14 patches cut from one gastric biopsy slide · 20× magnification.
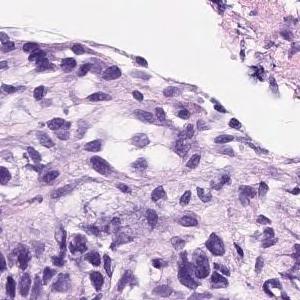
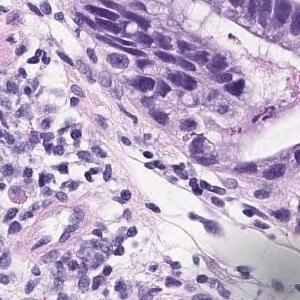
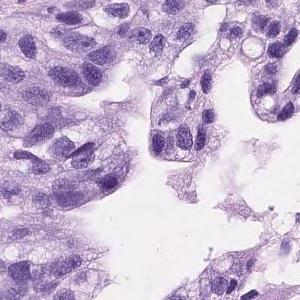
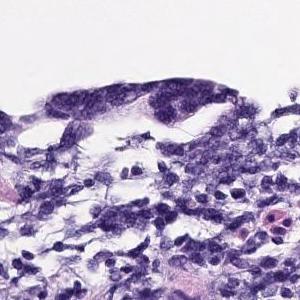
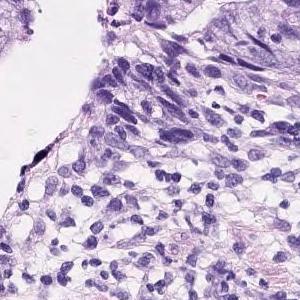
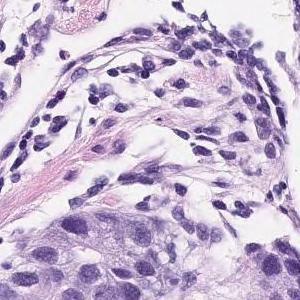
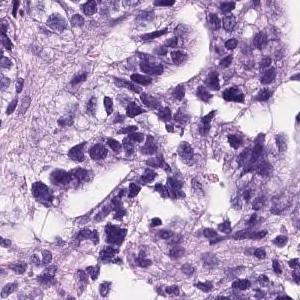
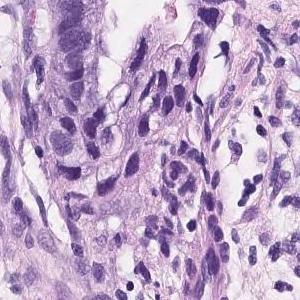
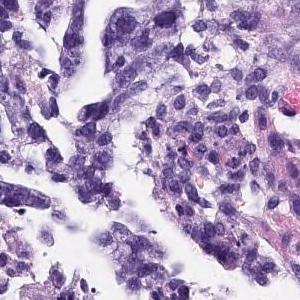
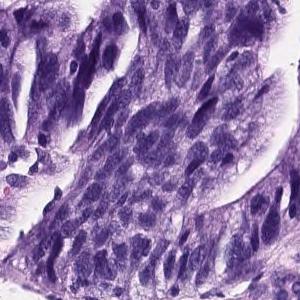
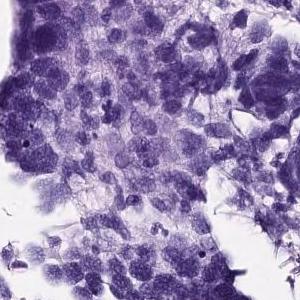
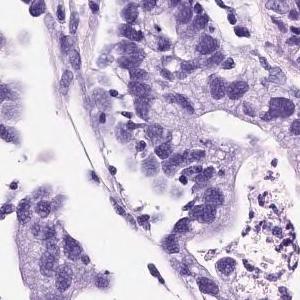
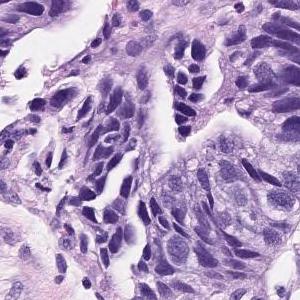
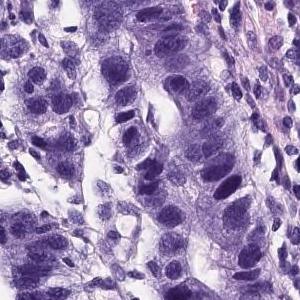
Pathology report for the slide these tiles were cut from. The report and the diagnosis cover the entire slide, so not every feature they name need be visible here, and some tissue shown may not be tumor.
On the superficial epithelium, tumor tissue consisting of medium to small irregular tubules partially fused and proliferated is observed. moderately differentiated tubular adenocarcinoma
